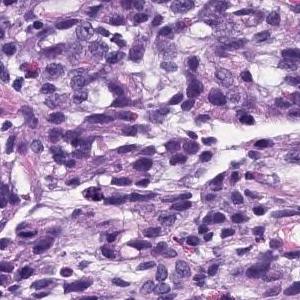
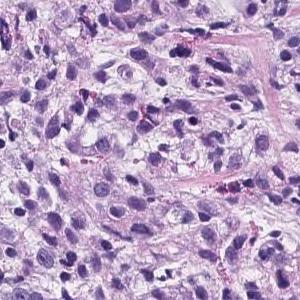
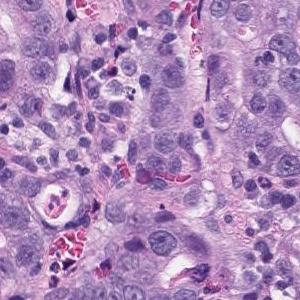
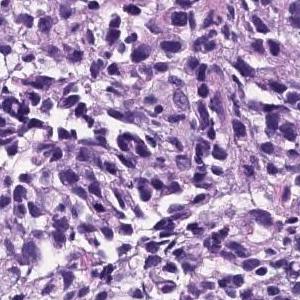
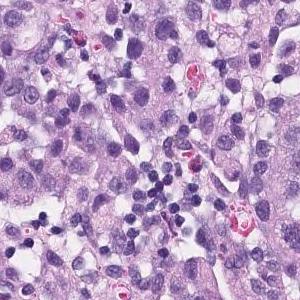
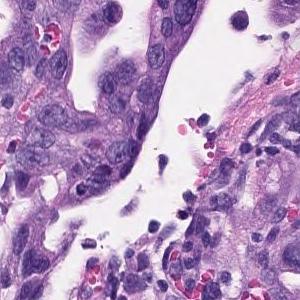
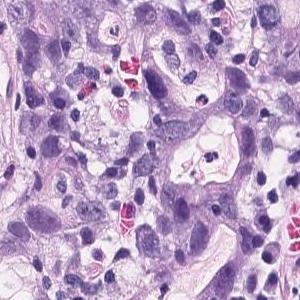
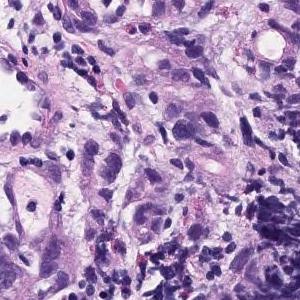
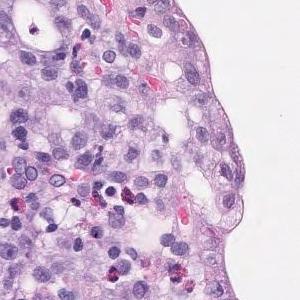
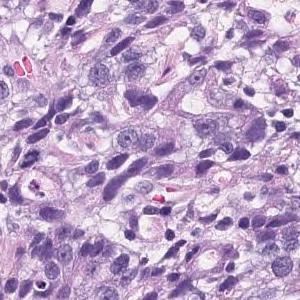
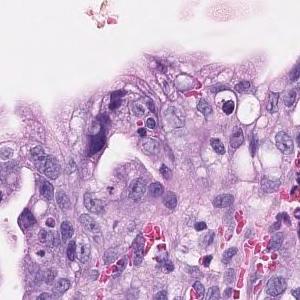
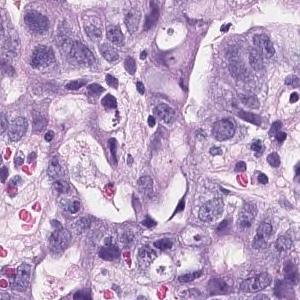
12 patches cut from one gastric biopsy slide · each 300 × 300 pixels · H&E stain · ×20.
Pathology report for the biopsy slide these tiles were cut from. The findings and the diagnosis refer to the entire slide; these tiles show only part of it, possibly with non-tumor tissue, and may not show every feature named.
There are atypical l cells with atypical nuclei forming cord-like or irregular atypical ducts from solidity and proliferating in a comprehensive manner. Poorly differentiated adenocarcinoma, Moderately differentiated adenocarcinoma (poorly differentiated adenocarcinoma, solid type moderately differentiated tubular adenocarcinoma)
Histologic type: Moderately to poorly differentiated adenocarcinoma.
"Solid type" is a category of the Japanese Classification of Gastric Carcinoma; in the WHO 2019 classification it is tubular adenocarcinoma, poorly differentiated.
